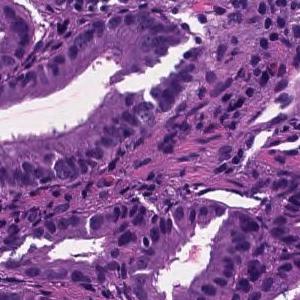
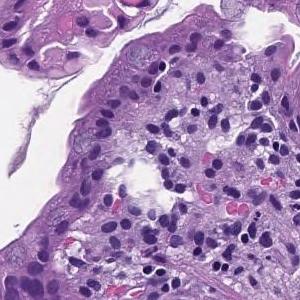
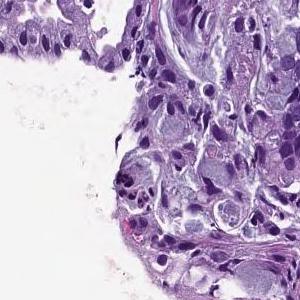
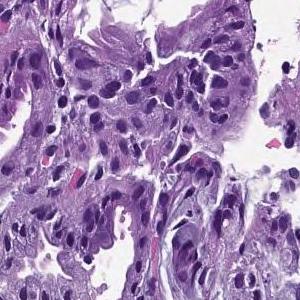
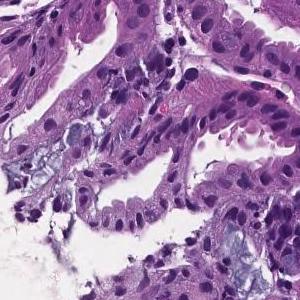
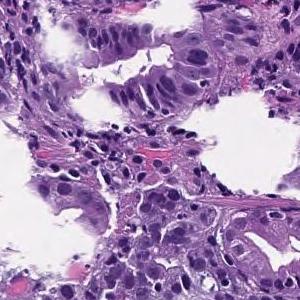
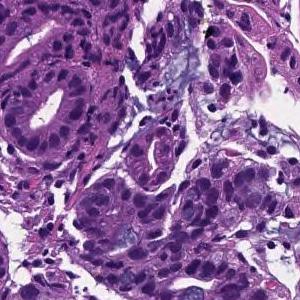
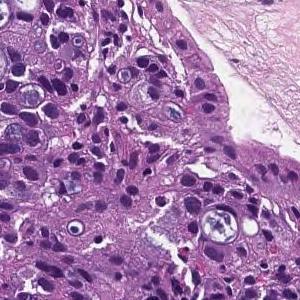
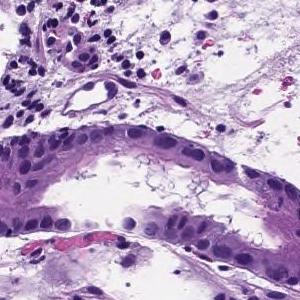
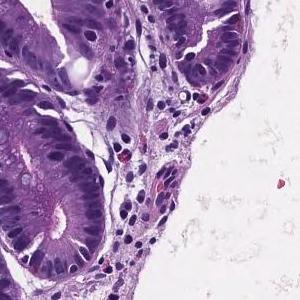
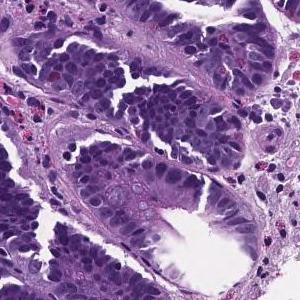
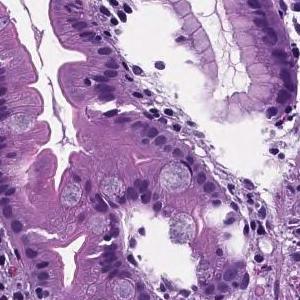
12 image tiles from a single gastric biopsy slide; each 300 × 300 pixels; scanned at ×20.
Diagnostic report for the slide these tiles come from. The findings and the diagnosis refer to the entire slide; these tiles show only part of it, possibly with non-tumor tissue, and may not show every feature named.
In the superficial epithelium, tumor tissue that invades by forming medium-sized to small, irregular ducts is observed. moderately differentiated tubular adenocarcinoma.
